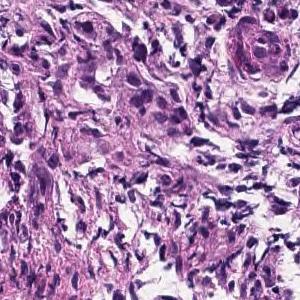
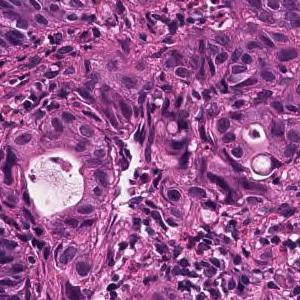
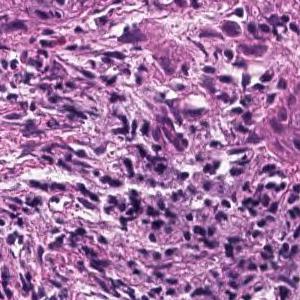
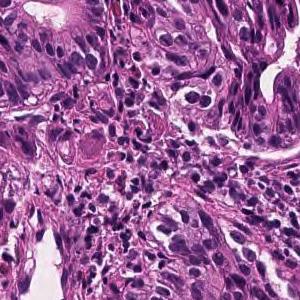
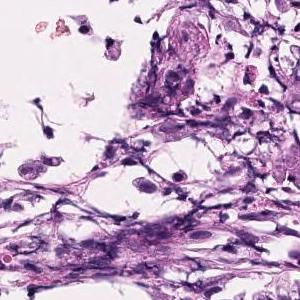
H&E stain; ×20; 5 tiles from the same stomach biopsy slide; each 300 × 300 pixels.
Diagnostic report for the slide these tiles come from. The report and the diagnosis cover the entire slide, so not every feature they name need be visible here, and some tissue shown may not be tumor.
Tumor tissue consisting of medium-sized, cord-like or irregular glandular infiltration is observed in the superficial epithelium. Poorly differentiated adenocarcinoma, non-solid type or moderately differentiated tubular adenocarcinoma
The non-solid type named here is a Japanese Classification of Gastric Carcinoma category.
